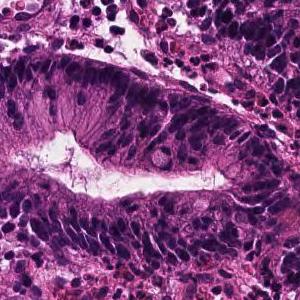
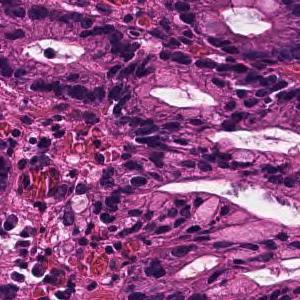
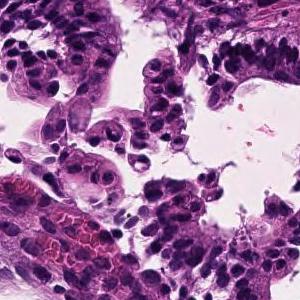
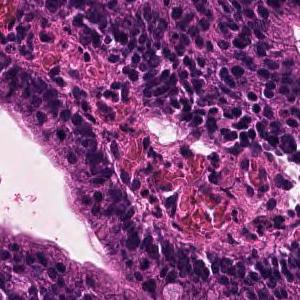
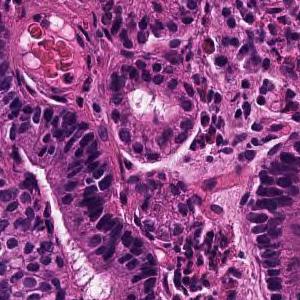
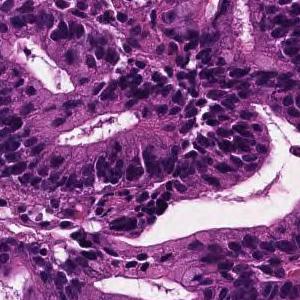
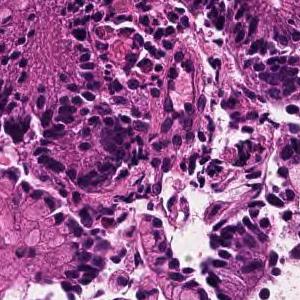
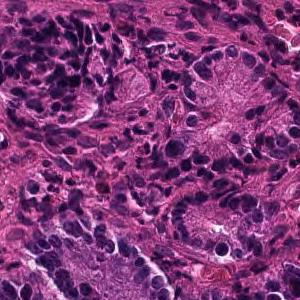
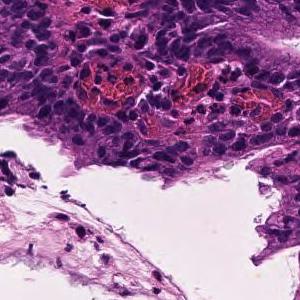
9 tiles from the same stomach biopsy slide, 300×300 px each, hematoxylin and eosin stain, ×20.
Report on the slide these tiles come from. The report describes the whole slide, diagnosis included: not every finding it names need appear in these tiles, which may also show non-tumor tissue.
In the superficial epithelium, tumor tissue that invades by forming medium-sized to small, irregular ducts is observed. moderately differentiated tubular adenocarcinoma.
